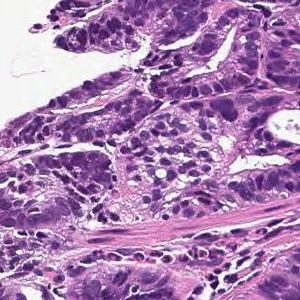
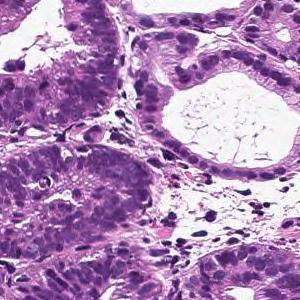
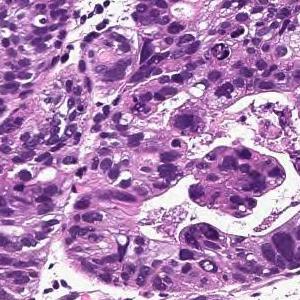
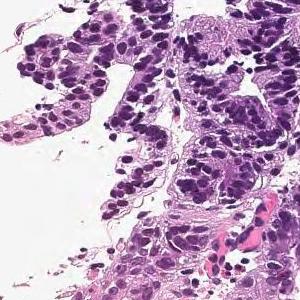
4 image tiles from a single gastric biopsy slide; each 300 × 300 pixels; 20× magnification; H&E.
The pathologist's report on the biopsy slide these tiles were taken from. The report and the diagnosis cover the entire slide, so not every feature they name need be visible here, and some tissue shown may not be tumor.
On the superficial epithelium, tumor tissue consisting of large, irregular glandular ducts partially fused and infiltrated is observed. Well to moderately differentiated tubular adenocarcinoma (well differentiated tubular adenocarcinoma, moderately differentiated tubular adenocarcinoma)
Subtype: Well to moderately differentiated tubular adenocarcinoma.
